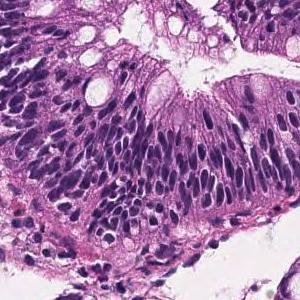
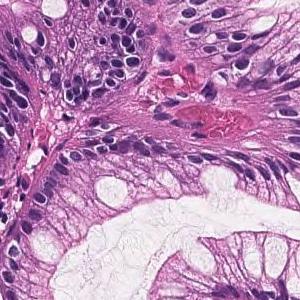
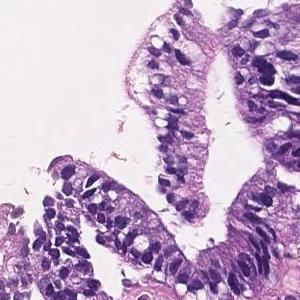
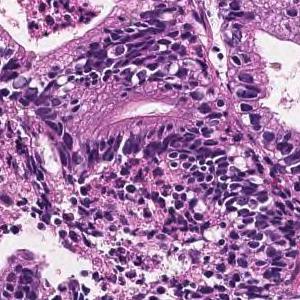
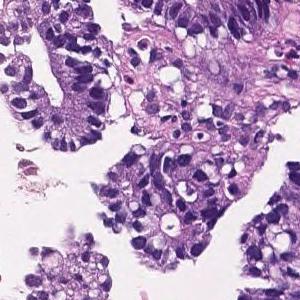
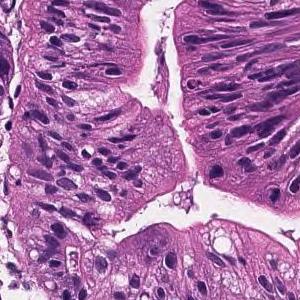
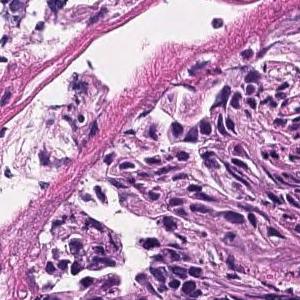
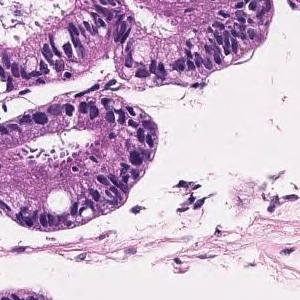
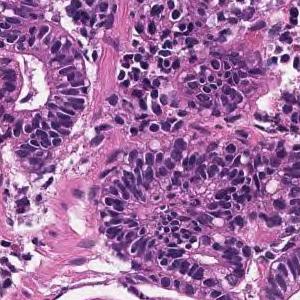
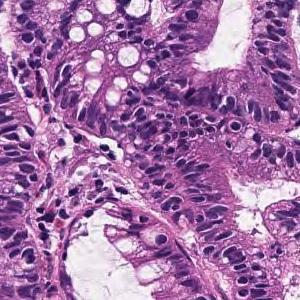
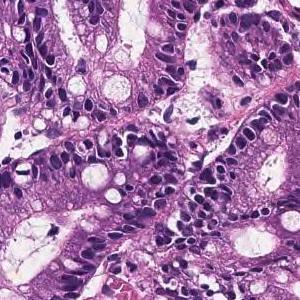
20× magnification · H&E stain · 11 image tiles from a single gastric biopsy slide · 300×300 px each.
Pathology report for the biopsy slide these tiles were cut from. Both the report and the diagnosis are for the whole slide: these tiles need not show every feature named, and some of the tissue shown may not be tumor.
Most remain in the superficial epithelium, forming medium-sized papillary or small irregular ducts and proliferating, and some tumor tissue invades the muscularis mucosae. Papillary adenocarcinoma
